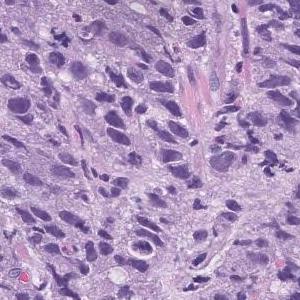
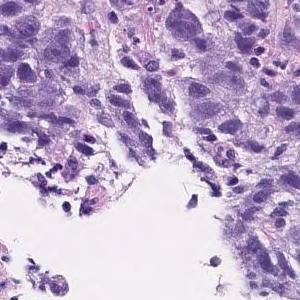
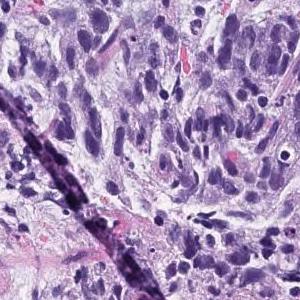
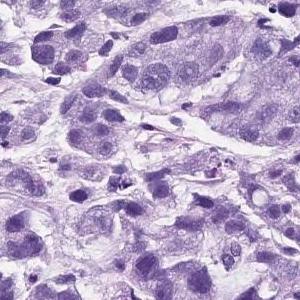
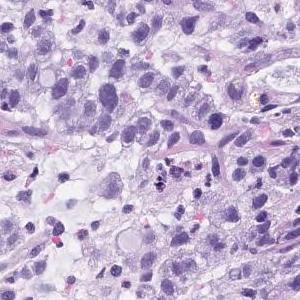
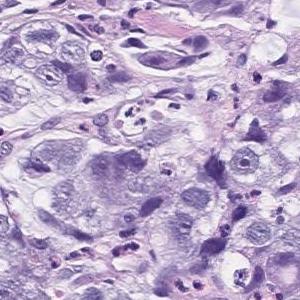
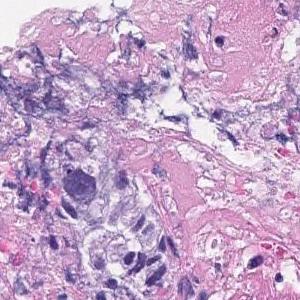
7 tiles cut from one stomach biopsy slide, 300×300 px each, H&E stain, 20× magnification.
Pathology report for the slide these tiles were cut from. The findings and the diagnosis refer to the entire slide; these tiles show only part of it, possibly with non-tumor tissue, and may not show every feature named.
Atypical l cells with atypical nuclei forming solid vesicles or small irregular atypical ducts that proliferate in a complex manner. poorly differentiated adenocarcinoma, solid type, moderately differentiated tubular adenocarcinoma
"Solid type" is a category of the Japanese Classification of Gastric Carcinoma; in the WHO 2019 classification it is tubular adenocarcinoma, poorly differentiated.
